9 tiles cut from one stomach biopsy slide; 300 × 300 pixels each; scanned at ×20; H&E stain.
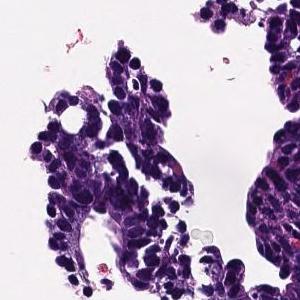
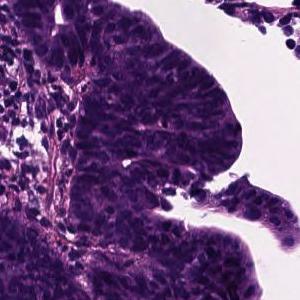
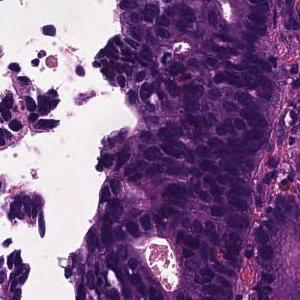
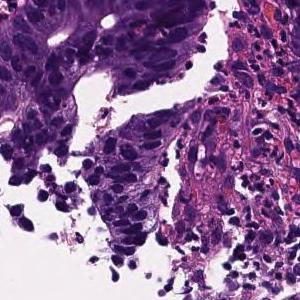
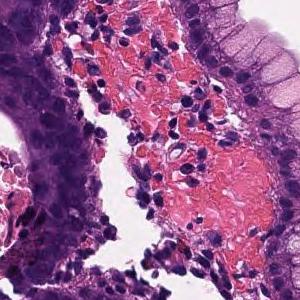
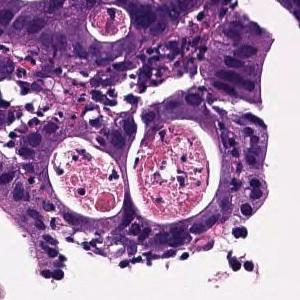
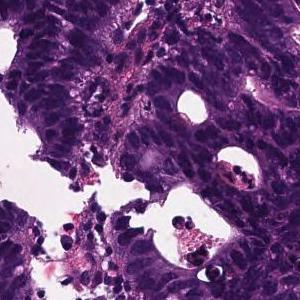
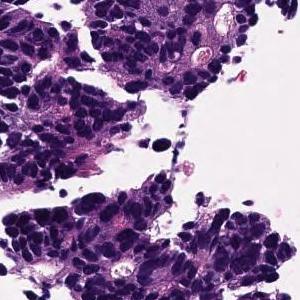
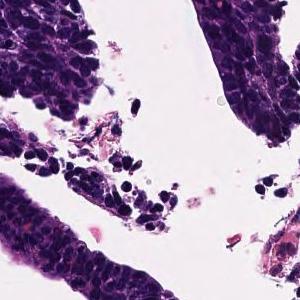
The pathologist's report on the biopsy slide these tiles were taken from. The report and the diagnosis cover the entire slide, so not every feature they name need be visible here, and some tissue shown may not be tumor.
In the superficial epithelium, tumor tissue that invades by forming medium-sized to small, irregular ducts is observed. moderately differentiated tubular adenocarcinoma.
